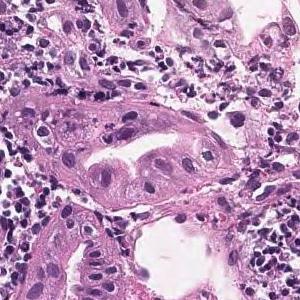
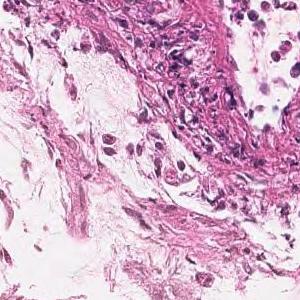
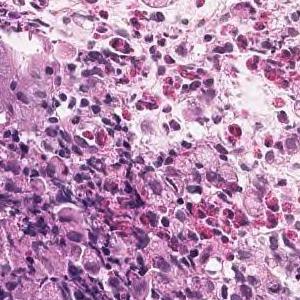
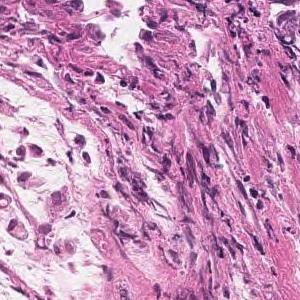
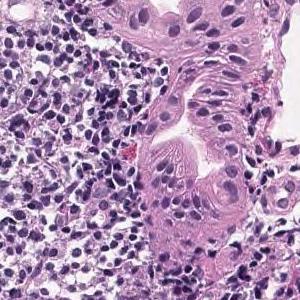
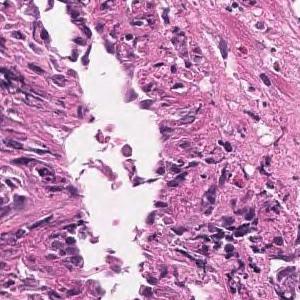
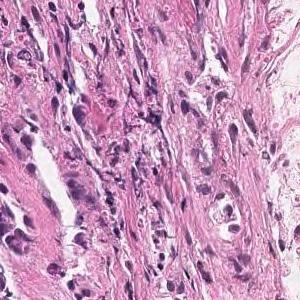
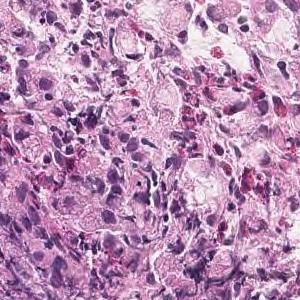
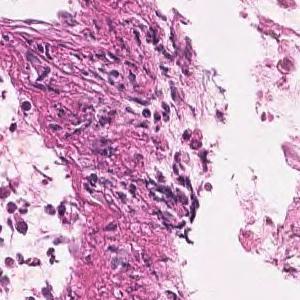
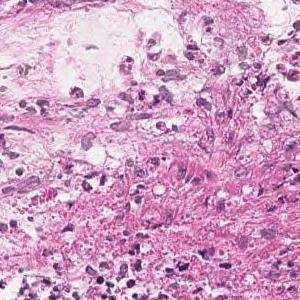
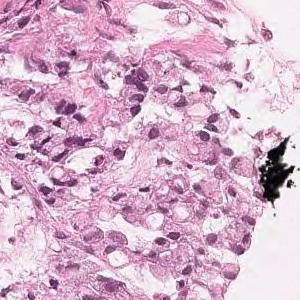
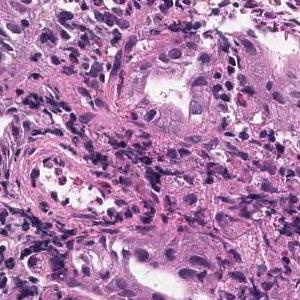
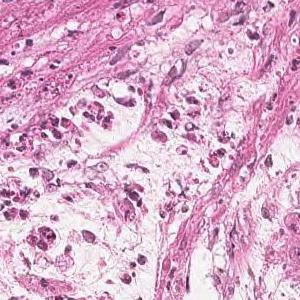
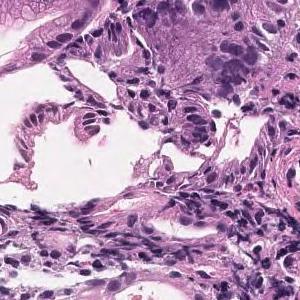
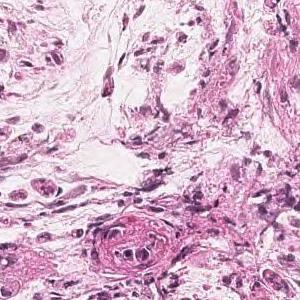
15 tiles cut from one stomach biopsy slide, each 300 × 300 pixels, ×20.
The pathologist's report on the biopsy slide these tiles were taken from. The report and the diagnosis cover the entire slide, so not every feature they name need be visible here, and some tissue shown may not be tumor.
Tumor tissue is observed in which atypical epithelial cells with mucus in the vesicles proliferate while being isolated. Signet ring cell carcinoma
